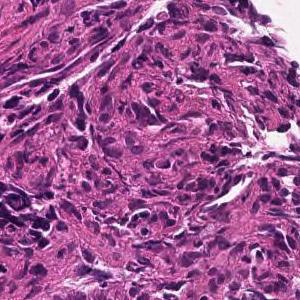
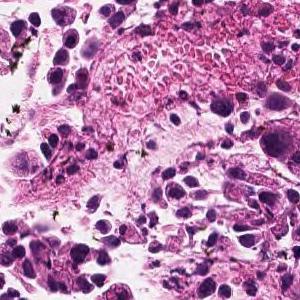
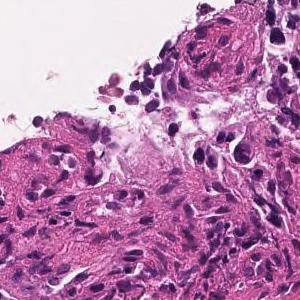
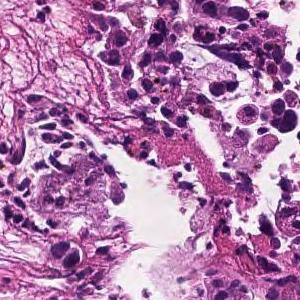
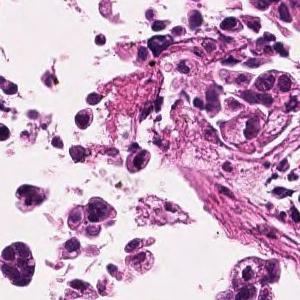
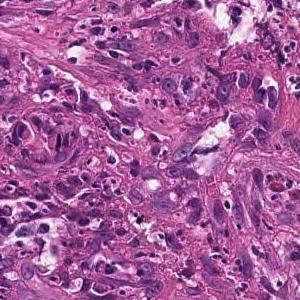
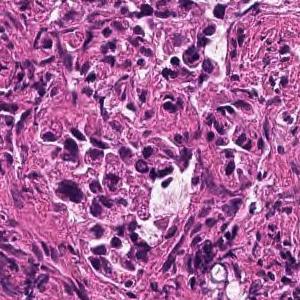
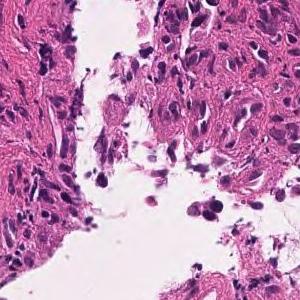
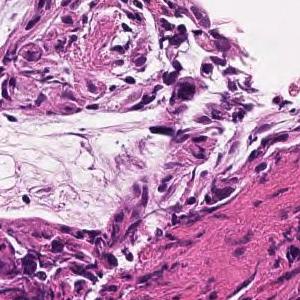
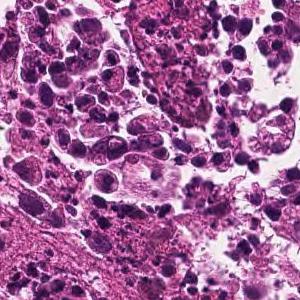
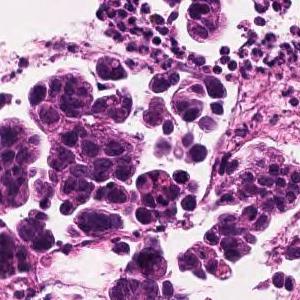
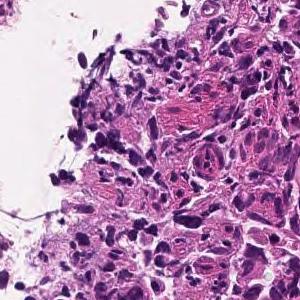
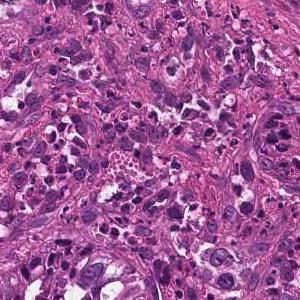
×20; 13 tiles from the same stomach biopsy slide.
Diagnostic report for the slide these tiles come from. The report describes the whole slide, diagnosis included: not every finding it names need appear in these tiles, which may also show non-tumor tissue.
In the superficial epithelium, tumor tissue that invades by forming medium-sized to small, irregular ducts is observed. moderately differentiated tubular adenocarcinoma.
